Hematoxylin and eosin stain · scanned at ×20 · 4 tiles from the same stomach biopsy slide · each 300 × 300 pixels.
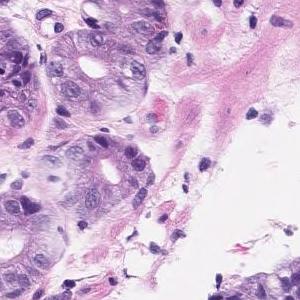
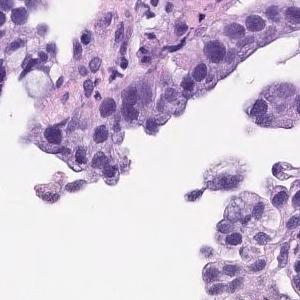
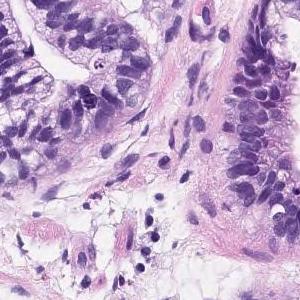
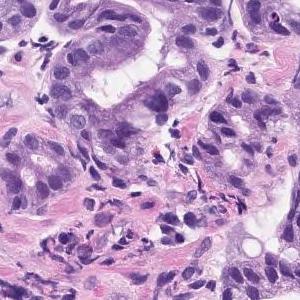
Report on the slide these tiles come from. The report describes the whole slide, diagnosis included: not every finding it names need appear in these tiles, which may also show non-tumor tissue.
The superficial tumors shows large papillary structures or large and small ducts and infiltrates. Papillary adenocarcinoma.
